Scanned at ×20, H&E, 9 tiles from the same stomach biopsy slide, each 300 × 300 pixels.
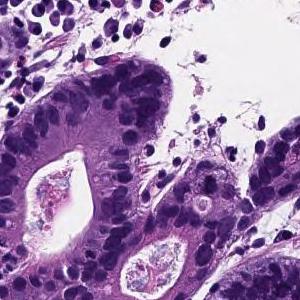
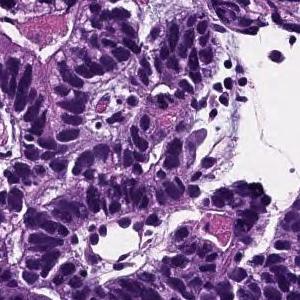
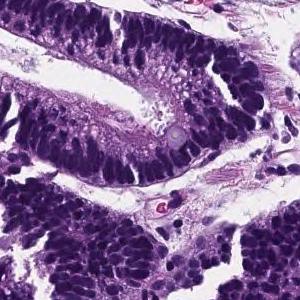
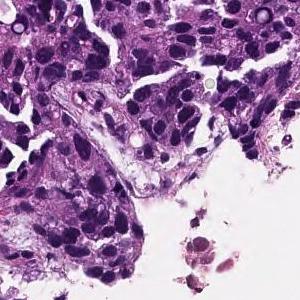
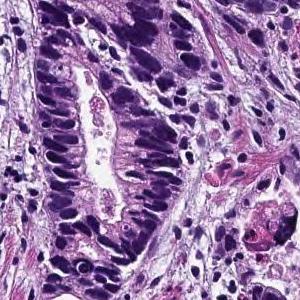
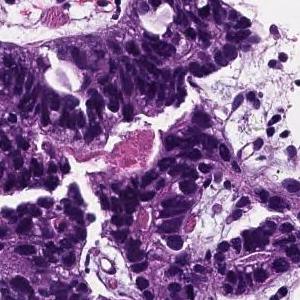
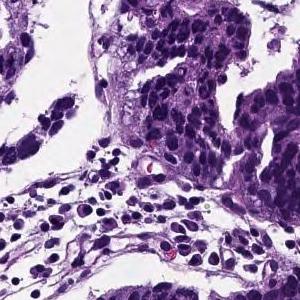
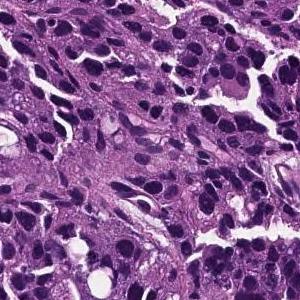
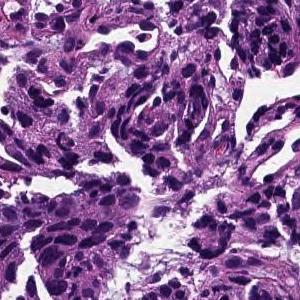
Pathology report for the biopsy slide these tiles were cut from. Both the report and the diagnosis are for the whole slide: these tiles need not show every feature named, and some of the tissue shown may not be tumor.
From the superficial epithelium to the muscularis mucosae, tumor tissue consisting of medium-sized and irregular glandular ducts infiltrating is observed. Well differentiated tubular adenocarcinoma
